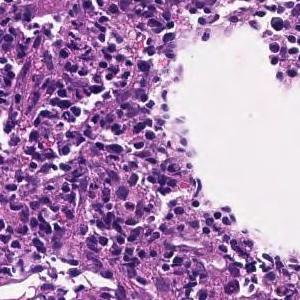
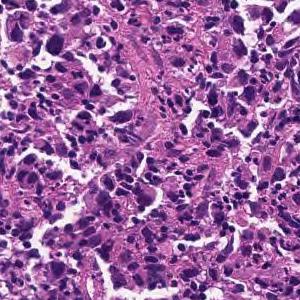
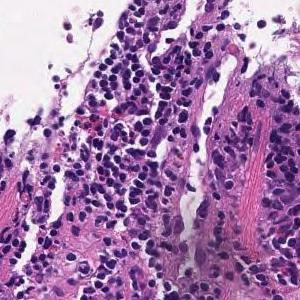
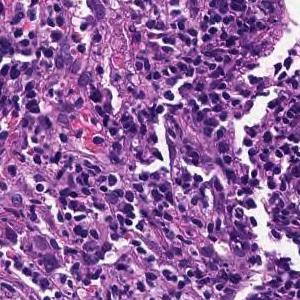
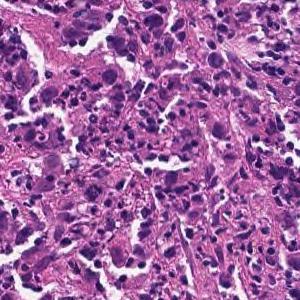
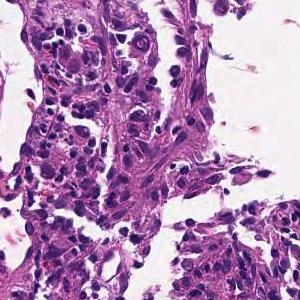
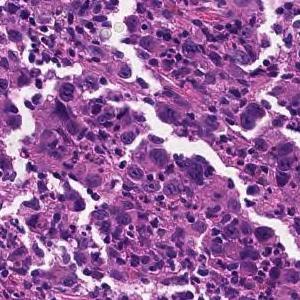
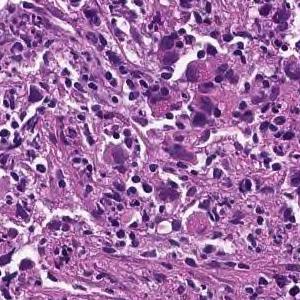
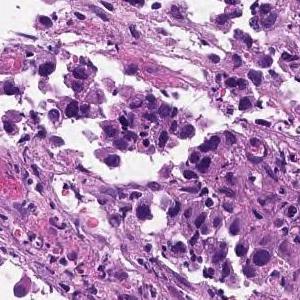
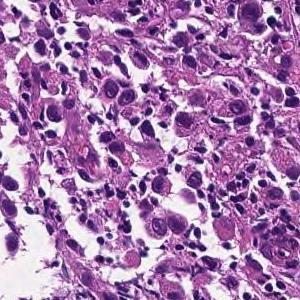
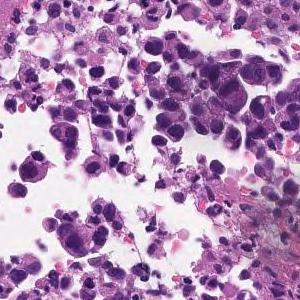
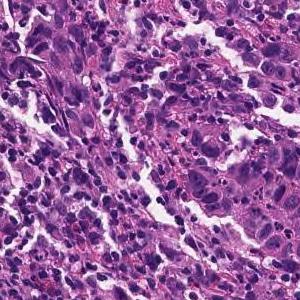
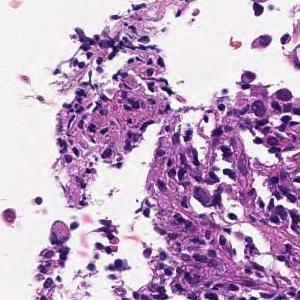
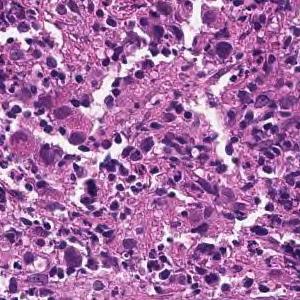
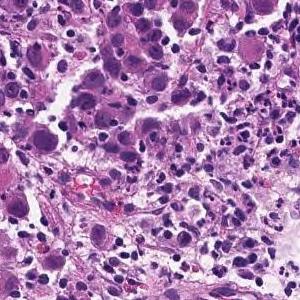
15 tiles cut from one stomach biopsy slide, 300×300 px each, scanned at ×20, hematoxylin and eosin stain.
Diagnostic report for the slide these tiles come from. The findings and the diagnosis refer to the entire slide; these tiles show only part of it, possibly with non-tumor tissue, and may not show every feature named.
The superficial epithelium shows a large sheet-like shape, and some tumor tissue infiltrates with small irregular ducts. Poorly differentiated adenocarcinoma, solid-type (poorly differentiated adenocarcinoma, solid type)
Histologic type: Poorly differentiated adenocarcinoma, solid type, a category of the Japanese Classification of Gastric Carcinoma; in the WHO 2019 classification it is tubular adenocarcinoma, poorly differentiated.
